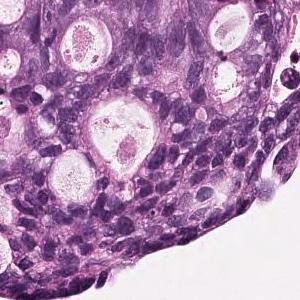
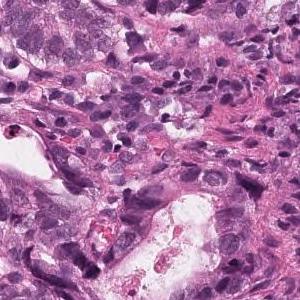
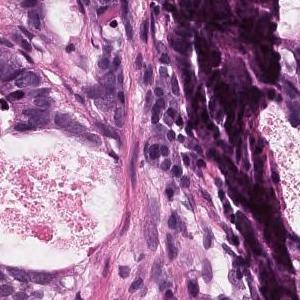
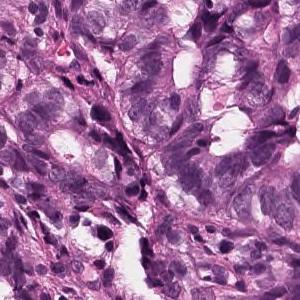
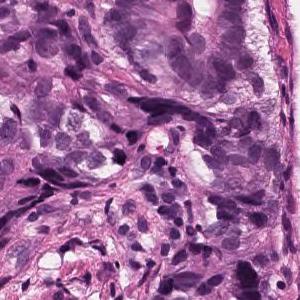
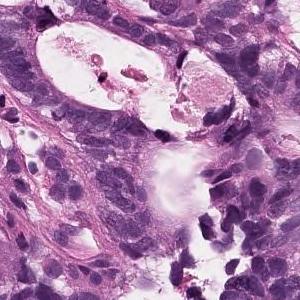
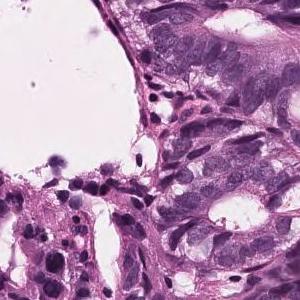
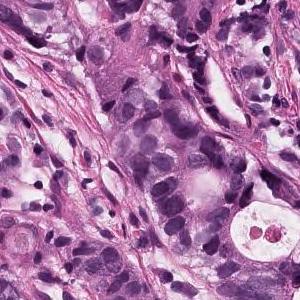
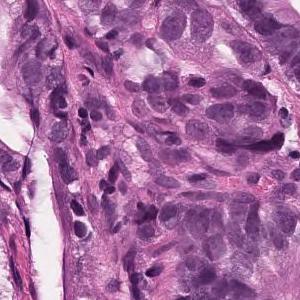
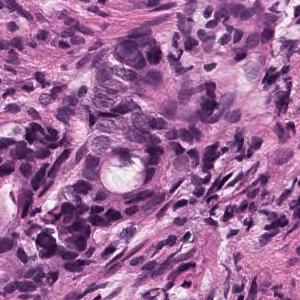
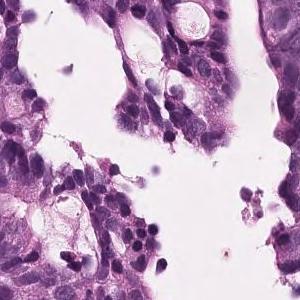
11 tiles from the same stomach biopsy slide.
Diagnostic report for the slide these tiles come from. The report describes the whole slide, diagnosis included: not every finding it names need appear in these tiles, which may also show non-tumor tissue.
On the superficial epithelium, tumor tissue consisting of large, irregular glandular ducts partially fused and infiltrated is observed. Well to moderately differentiated tubular adenocarcinoma (well differentiated tubular adenocarcinoma, moderately differentiated tubular adenocarcinoma)
Histologic type: Well to moderately differentiated tubular adenocarcinoma.
